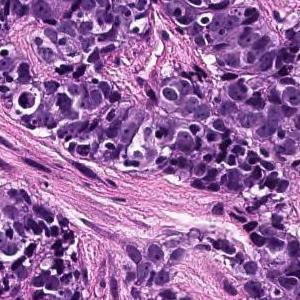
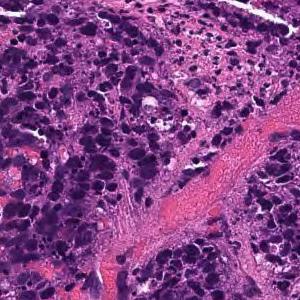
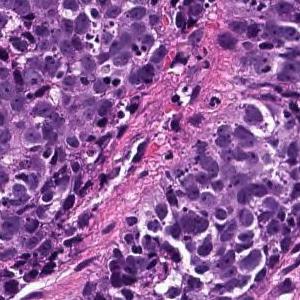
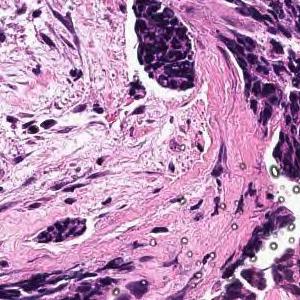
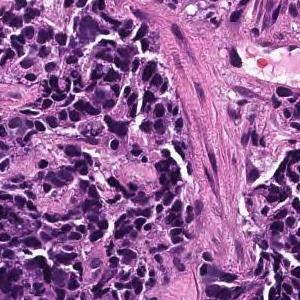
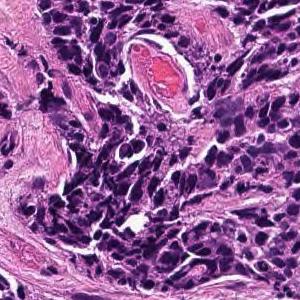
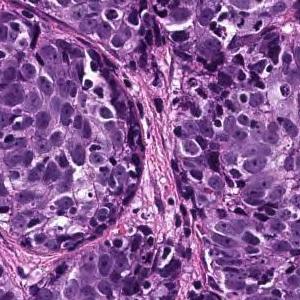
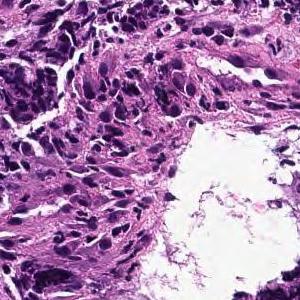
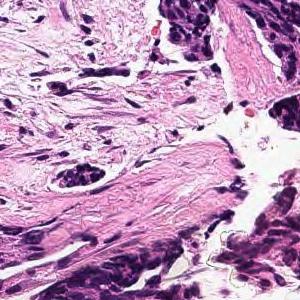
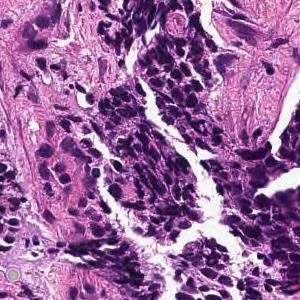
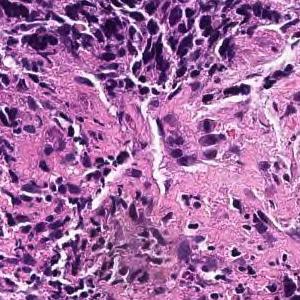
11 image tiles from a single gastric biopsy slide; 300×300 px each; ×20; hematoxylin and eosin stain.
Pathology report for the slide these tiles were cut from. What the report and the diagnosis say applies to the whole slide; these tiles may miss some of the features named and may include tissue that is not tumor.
The superficial epithelium shows a large sheet or alveolar shape, and tumor tissue infiltrating without irregular ducts is observed. Poorly differentiated adenocarcinoma, solid-type
Histologic type: Poorly differentiated adenocarcinoma, solid type (Japanese Classification of Gastric Carcinoma). The WHO 2019 equivalent is tubular adenocarcinoma, poorly differentiated.
